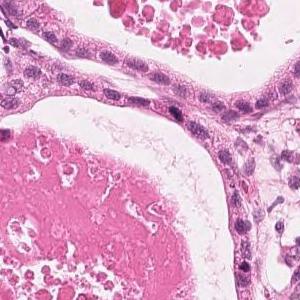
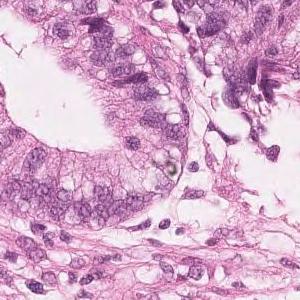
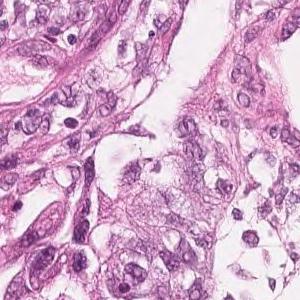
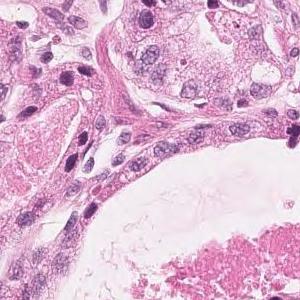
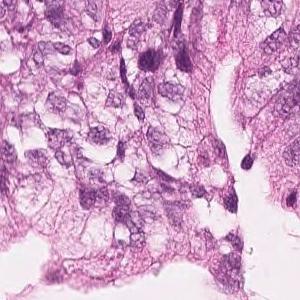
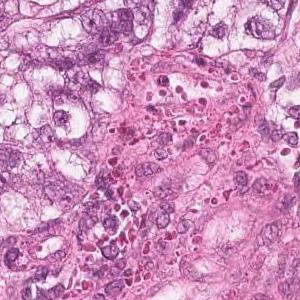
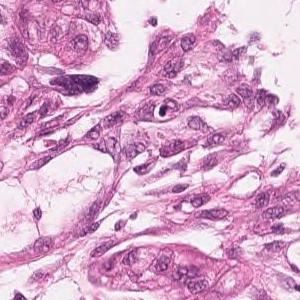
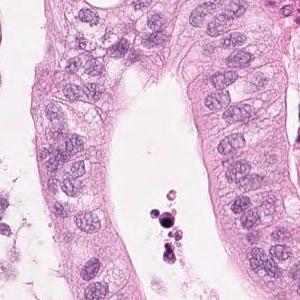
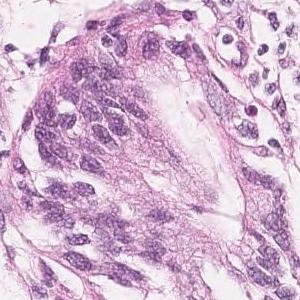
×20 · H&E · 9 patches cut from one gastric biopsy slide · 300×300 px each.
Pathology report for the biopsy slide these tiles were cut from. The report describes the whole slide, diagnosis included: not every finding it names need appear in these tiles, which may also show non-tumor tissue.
Highly columnar epithelium with disordered nuclear localization proliferates showing fusion ductal construction. moderately differentiated tubular adenocarcinoma
